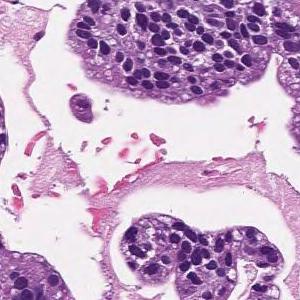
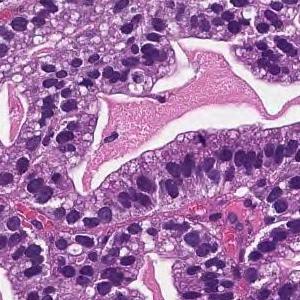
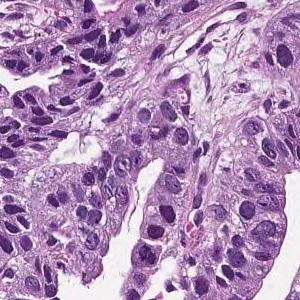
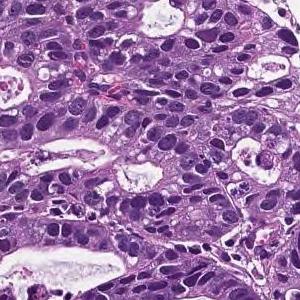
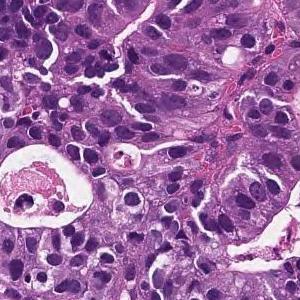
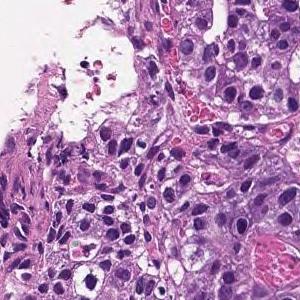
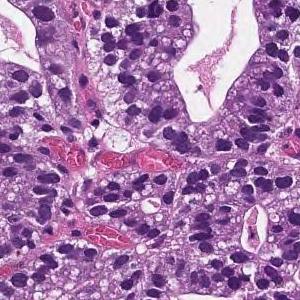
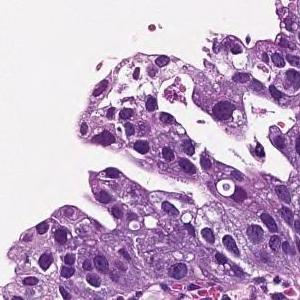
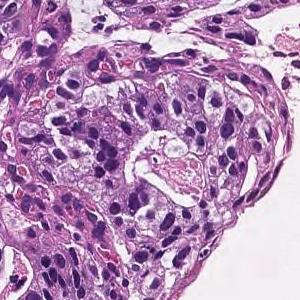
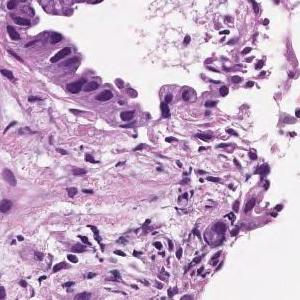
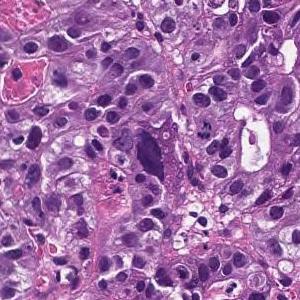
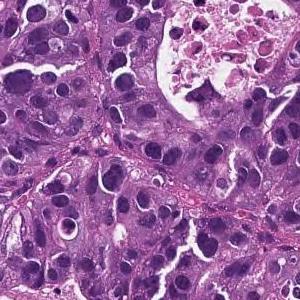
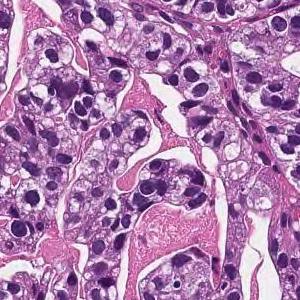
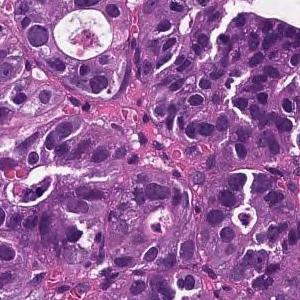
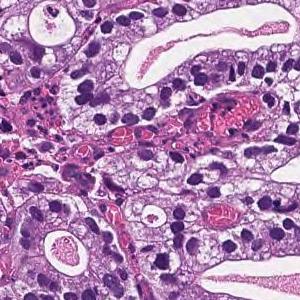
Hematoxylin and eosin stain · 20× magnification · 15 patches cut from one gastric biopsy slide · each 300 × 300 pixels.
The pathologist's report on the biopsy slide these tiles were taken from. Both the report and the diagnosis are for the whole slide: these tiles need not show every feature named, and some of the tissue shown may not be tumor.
On the superficial epithelium, tumor tissue consisting of large, irregular glandular ducts partially fused and infiltrated is observed. Well to moderately differentiated tubular adenocarcinoma (well differentiated tubular adenocarcinoma, moderately differentiated tubular adenocarcinoma)
Subtype: Well to moderately differentiated tubular adenocarcinoma.
